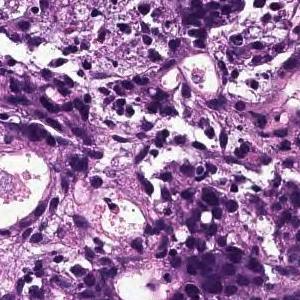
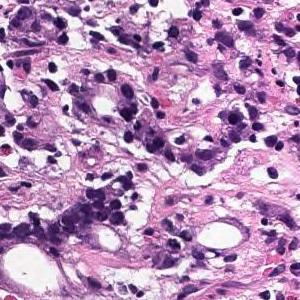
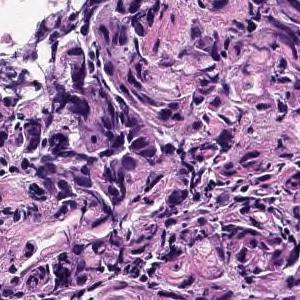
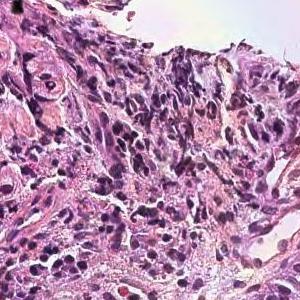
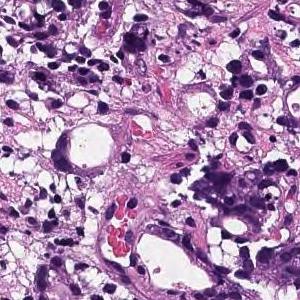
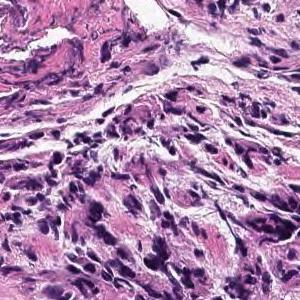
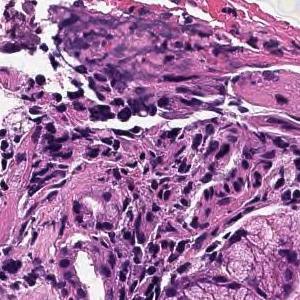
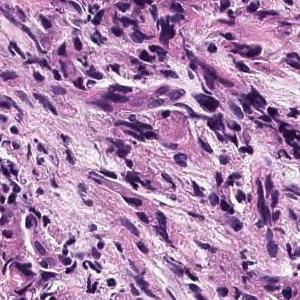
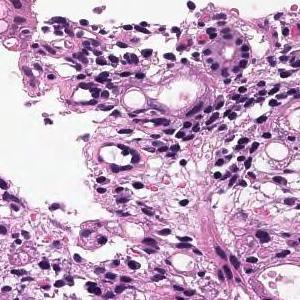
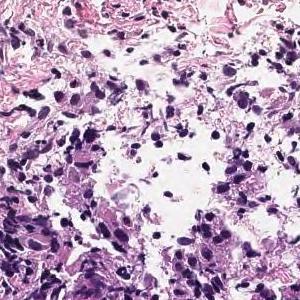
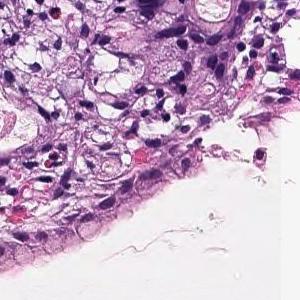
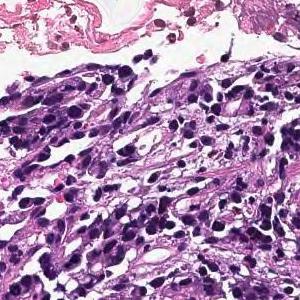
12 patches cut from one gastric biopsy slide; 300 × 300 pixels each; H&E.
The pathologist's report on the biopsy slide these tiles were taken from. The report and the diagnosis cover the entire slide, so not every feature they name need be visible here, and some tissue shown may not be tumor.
Tumor tissue consisting of cord-like or small, irregular glandular ducts fused and infiltrated is observed in the superficial epithelium. Poorly differentiated adenocarcinoma, non-solid type
"Non-solid type" is a category of the Japanese Classification of Gastric Carcinoma.
